4 image tiles from a single gastric biopsy slide, each 300 × 300 pixels, scanned at ×20, H&E stain.
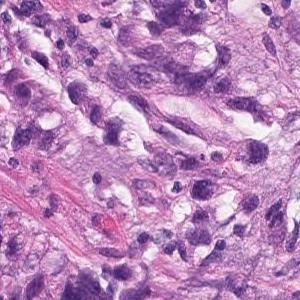
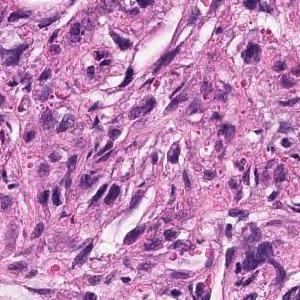
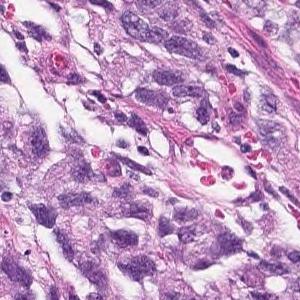
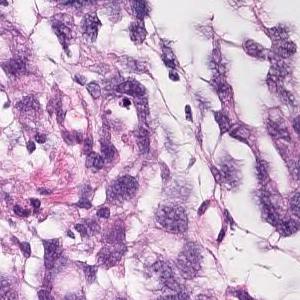
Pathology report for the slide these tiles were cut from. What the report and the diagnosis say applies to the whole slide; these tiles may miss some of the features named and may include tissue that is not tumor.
The superficial epithelium shows a large sheet-like shape, and some tumor tissue infiltrates with small irregular ducts. Poorly differentiated adenocarcinoma, solid-type
Tumor subtype: poorly differentiated adenocarcinoma, solid type. This name comes from the Japanese Classification of Gastric Carcinoma; the WHO 2019 classification calls it tubular adenocarcinoma, poorly differentiated.
